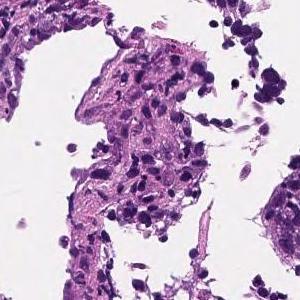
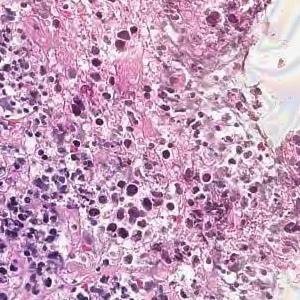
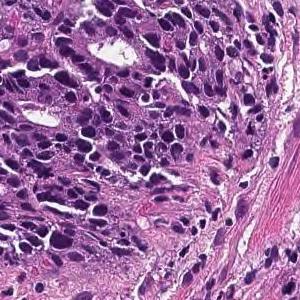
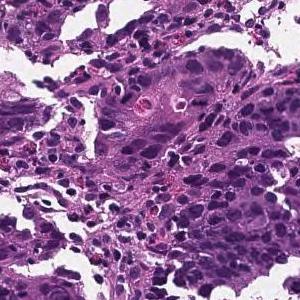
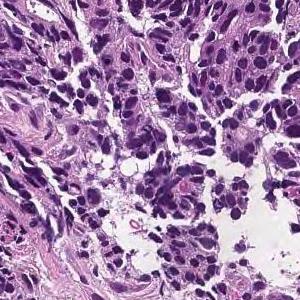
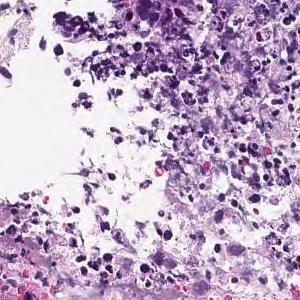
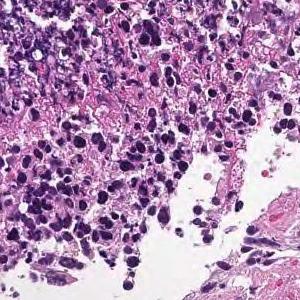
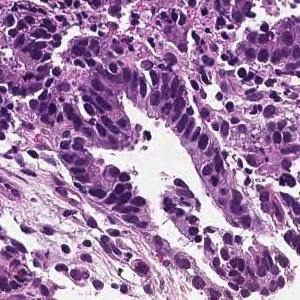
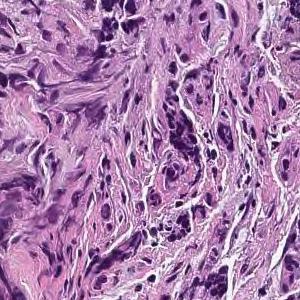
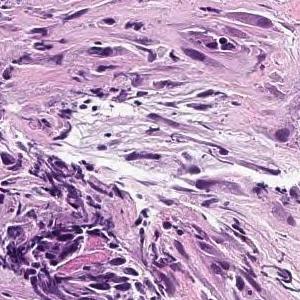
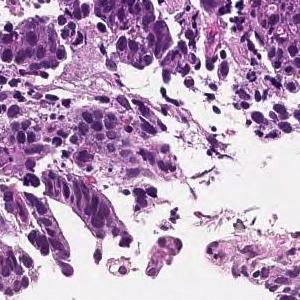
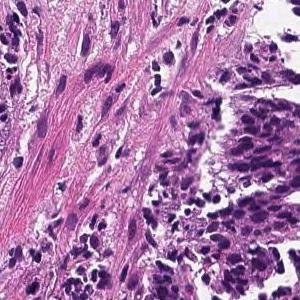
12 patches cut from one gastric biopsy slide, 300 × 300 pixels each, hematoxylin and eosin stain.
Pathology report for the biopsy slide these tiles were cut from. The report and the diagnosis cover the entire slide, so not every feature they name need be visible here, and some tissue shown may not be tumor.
In the superficial epithelium, tumor tissue that invades by forming medium-sized to small, irregular ducts is observed. moderately differentiated tubular adenocarcinoma.
